H&E · 20× magnification · 5 image tiles from a single gastric biopsy slide · each 300 × 300 pixels.
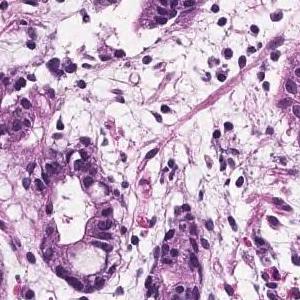
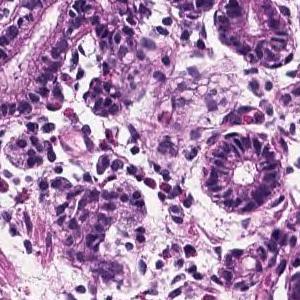
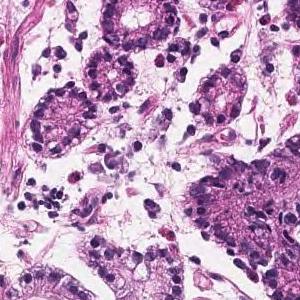
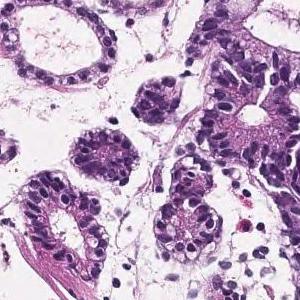
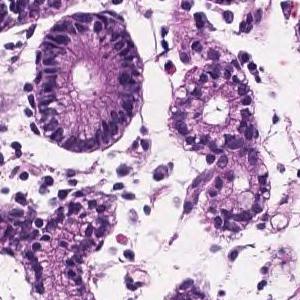
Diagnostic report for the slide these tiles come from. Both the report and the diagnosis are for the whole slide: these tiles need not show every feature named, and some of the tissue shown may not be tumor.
In the superficial epithelium, tumor tissue that invades by forming medium-sized to small, irregular ducts is observed. Well differentiated tubular adenocarcinoma.
